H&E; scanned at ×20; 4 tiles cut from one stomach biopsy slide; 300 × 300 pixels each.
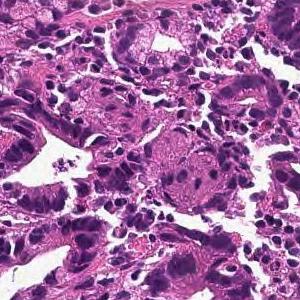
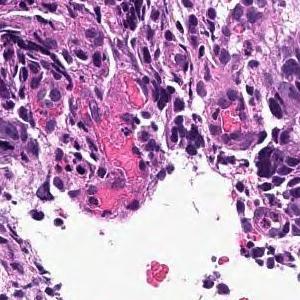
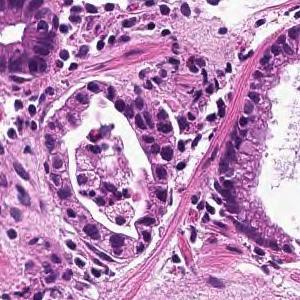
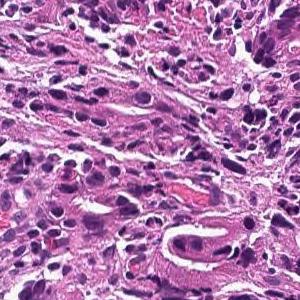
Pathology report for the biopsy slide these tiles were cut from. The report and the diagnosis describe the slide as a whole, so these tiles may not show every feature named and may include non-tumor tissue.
On the superficial epithelium, tumor tissue consisting of large, irregular glandular ducts partially fused and infiltrated is observed. Well to moderately differentiated tubular adenocarcinoma (well differentiated tubular adenocarcinoma, moderately differentiated tubular adenocarcinoma)
Classified as well to moderately differentiated tubular adenocarcinoma.
